5 image tiles from a single gastric biopsy slide, 300 × 300 pixels each, ×20, H&E stain.
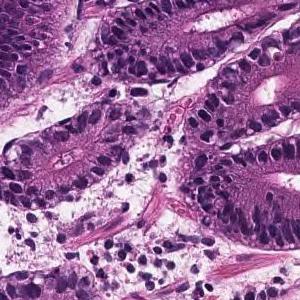
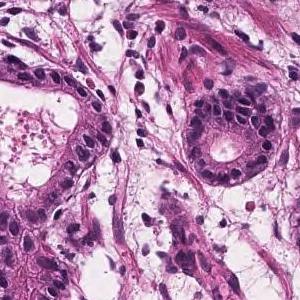
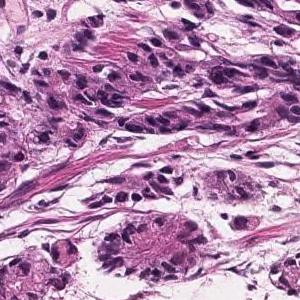
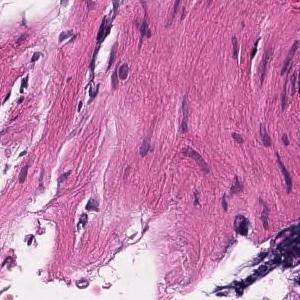
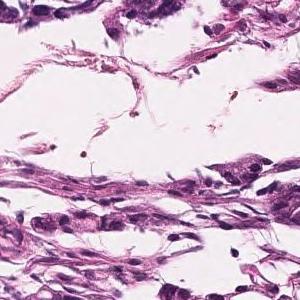
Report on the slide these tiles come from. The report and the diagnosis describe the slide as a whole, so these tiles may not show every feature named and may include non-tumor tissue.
Tumor tissue with atypical epithelium showing irregular ductal or sieving ductal structure and proliferating is observed. Well to moderately differentiated tubular adenocarcinoma (well differentiated tubular adenocarcinoma-moderately differentiated tubular adenocarcinoma)
Histological subtype: Well to moderately differentiated tubular adenocarcinoma.
